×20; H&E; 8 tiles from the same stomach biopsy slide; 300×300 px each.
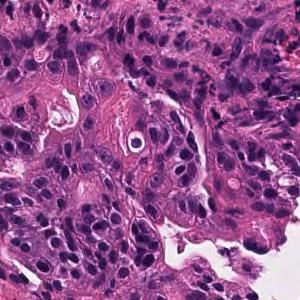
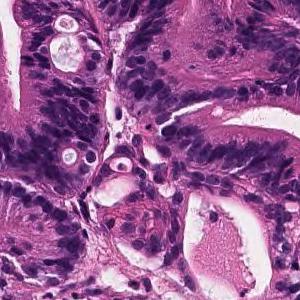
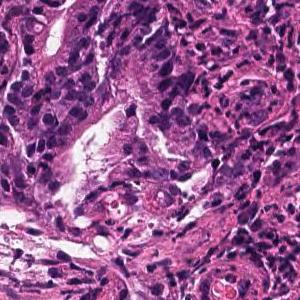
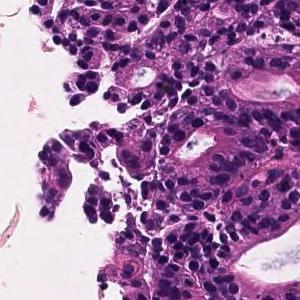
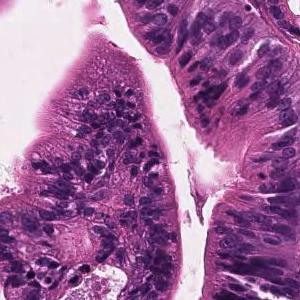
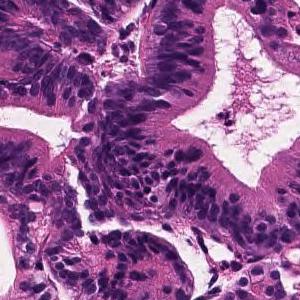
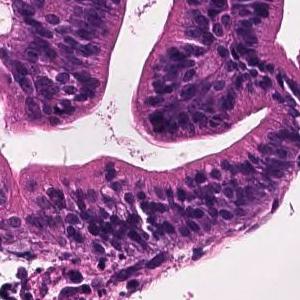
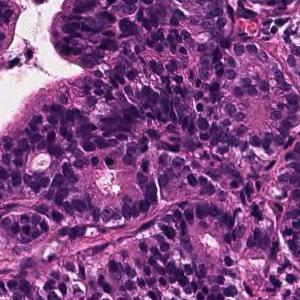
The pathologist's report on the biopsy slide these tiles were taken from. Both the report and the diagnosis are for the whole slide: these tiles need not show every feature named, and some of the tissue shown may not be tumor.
In the superficial epithelium, tumor tissue that invades by forming medium-sized to small, irregular ducts is observed. Moderately differentiated adenocarcinoma.
Subtype: Moderately differentiated tubular adenocarcinoma.
